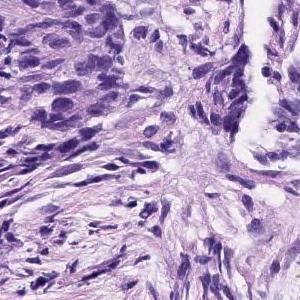
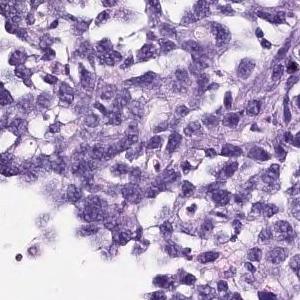
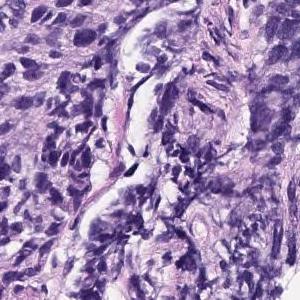
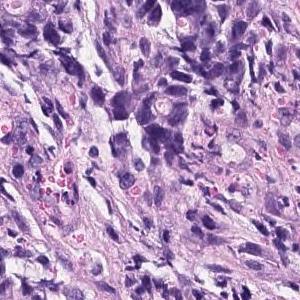
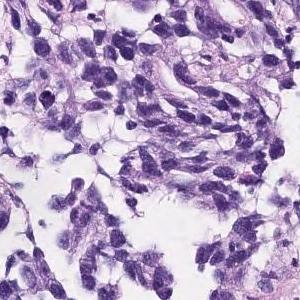
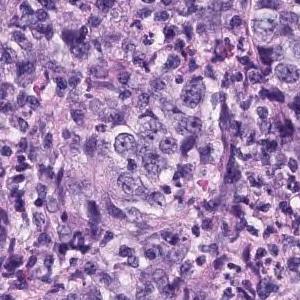
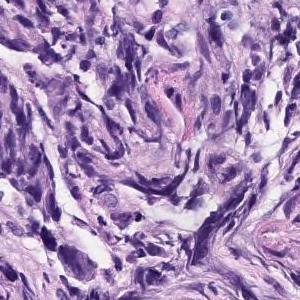
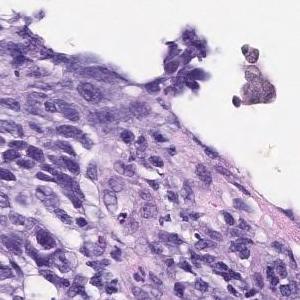
8 patches cut from one gastric biopsy slide · 300×300 px each · H&E stain · scanned at ×20.
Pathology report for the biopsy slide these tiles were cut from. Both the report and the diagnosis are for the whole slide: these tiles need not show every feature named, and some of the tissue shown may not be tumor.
The superficial epithelium shows a large sheet-like shape, and some tumor tissue infiltrates with small irregular ducts. Poorly differentiated adenocarcinoma, solid-type
Histological subtype: Poorly differentiated adenocarcinoma, solid type. This name comes from the Japanese Classification of Gastric Carcinoma; the WHO 2019 classification calls it tubular adenocarcinoma, poorly differentiated.
